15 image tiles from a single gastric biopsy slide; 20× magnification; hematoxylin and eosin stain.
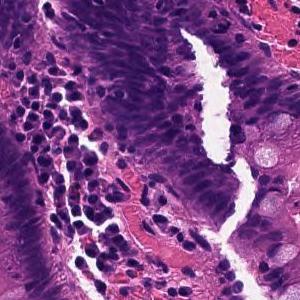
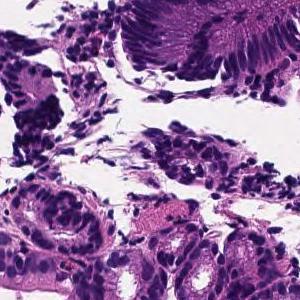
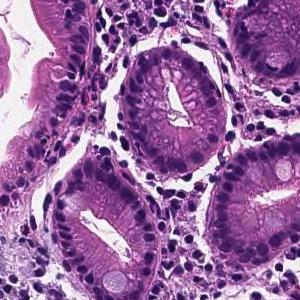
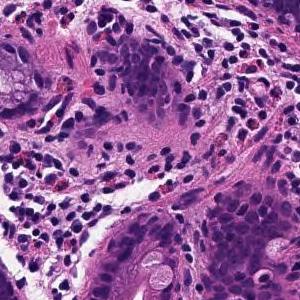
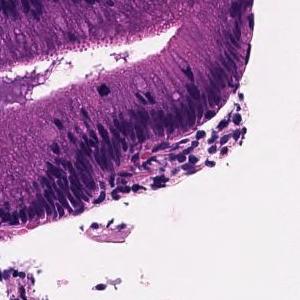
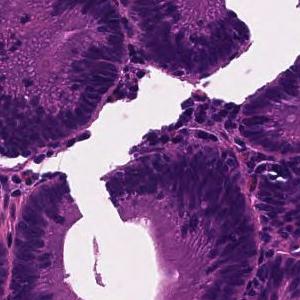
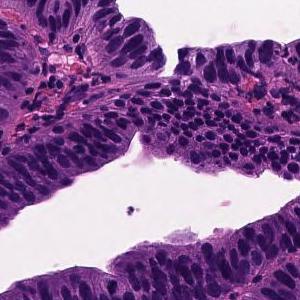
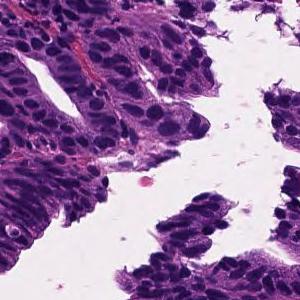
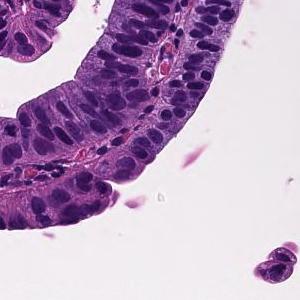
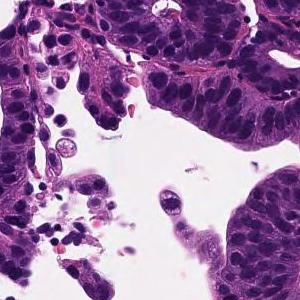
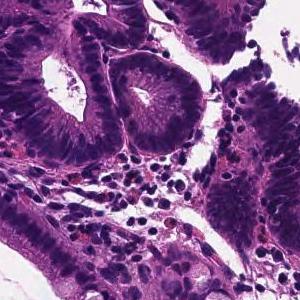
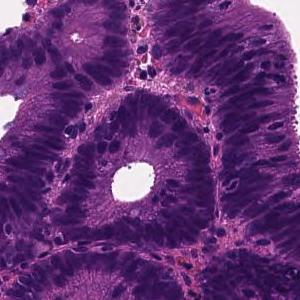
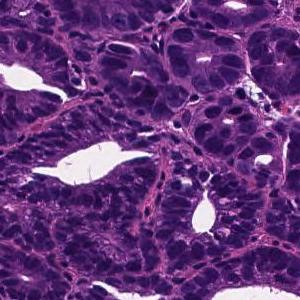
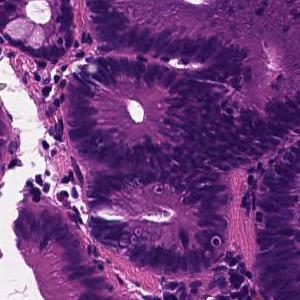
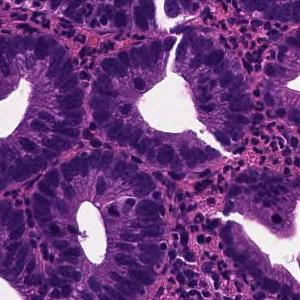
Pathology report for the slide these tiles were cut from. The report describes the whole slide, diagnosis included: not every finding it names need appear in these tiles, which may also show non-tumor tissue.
Tumor tissue in which medium to small irregular ducts infiltrate and proliferate in the submucosa can be seen in the epithelium. Well differentiated tubular adenocarcinoma
